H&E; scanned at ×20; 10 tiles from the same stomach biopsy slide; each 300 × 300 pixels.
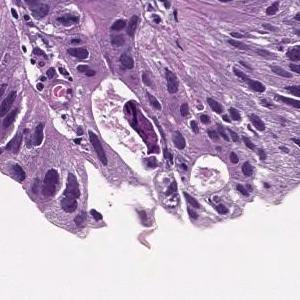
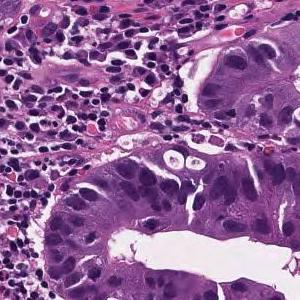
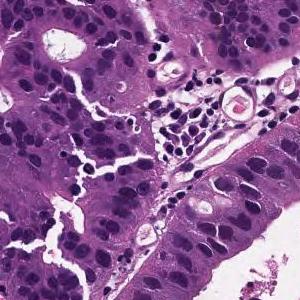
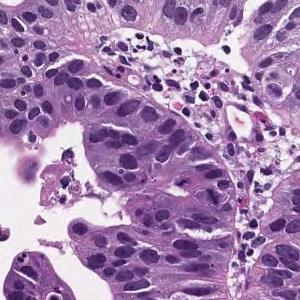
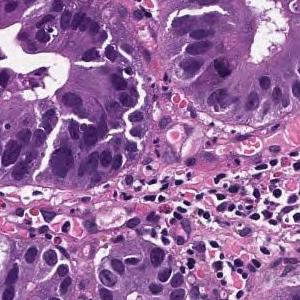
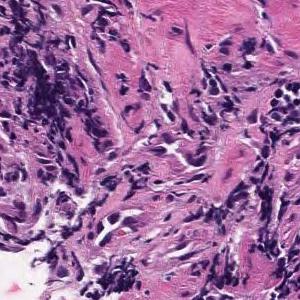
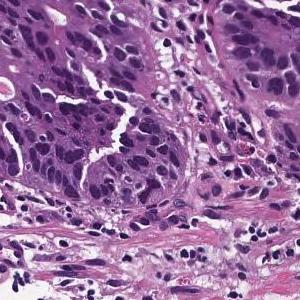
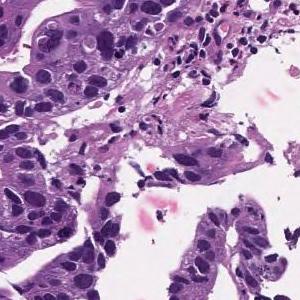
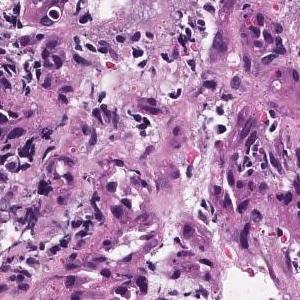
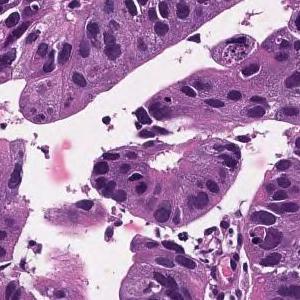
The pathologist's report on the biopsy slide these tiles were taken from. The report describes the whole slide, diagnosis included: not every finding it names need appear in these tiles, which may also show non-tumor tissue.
Tumor cells are large, highly columnar, large club-shaped nuclei, and are associated with chromatin aggregation. Papillary adenocarcinoma.
